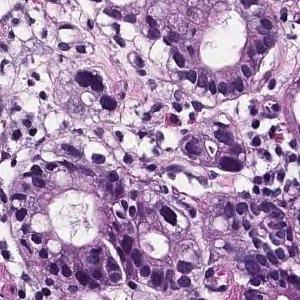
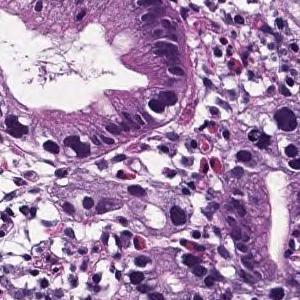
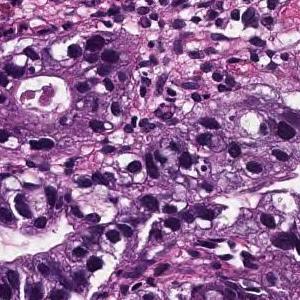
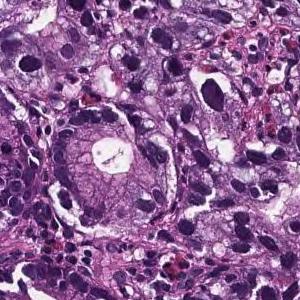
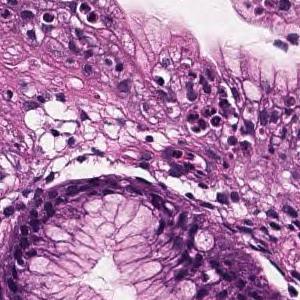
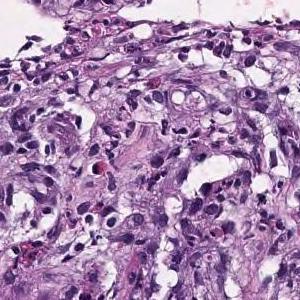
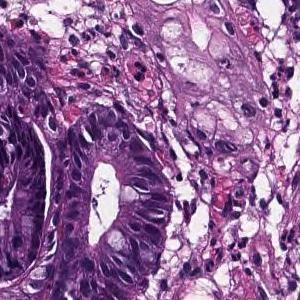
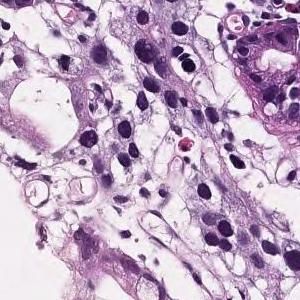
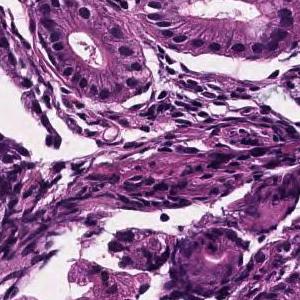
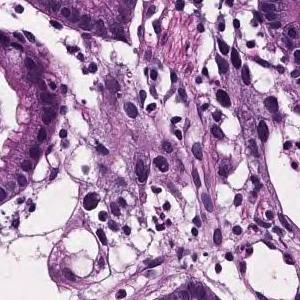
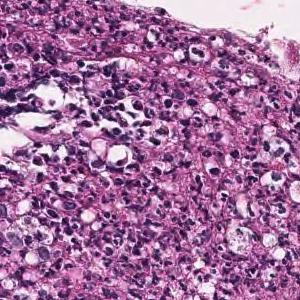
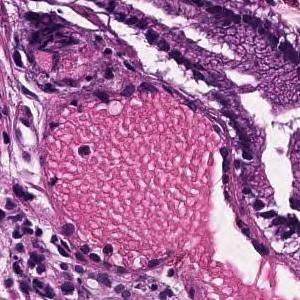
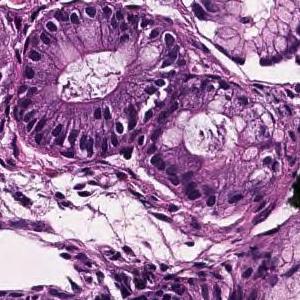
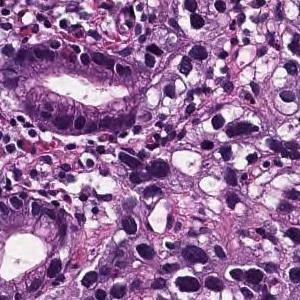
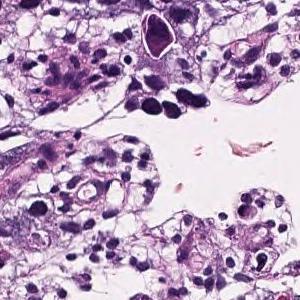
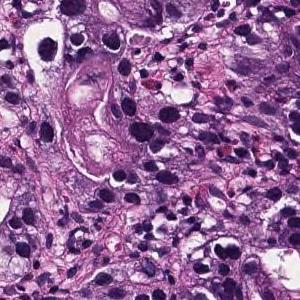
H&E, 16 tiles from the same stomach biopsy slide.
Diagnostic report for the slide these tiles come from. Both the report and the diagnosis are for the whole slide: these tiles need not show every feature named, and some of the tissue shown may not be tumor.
In the superficial epithelium, medium to small irregular gland ducts are formed, and in some cases, the ducts are fused to show solid alveolar lesions and infiltrating tumor tissue is observed. Moderately to poorly differentiated adenocarcinoma
